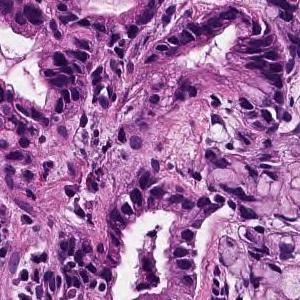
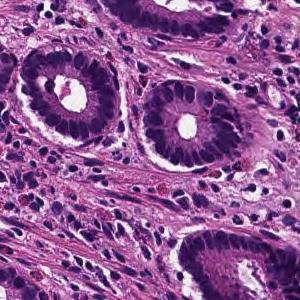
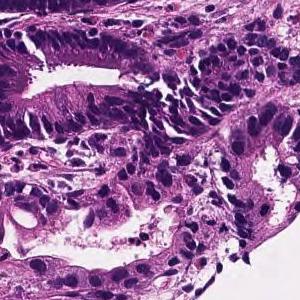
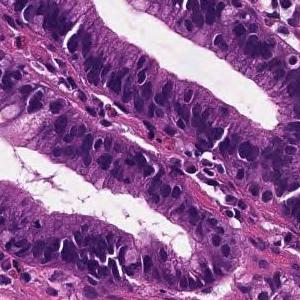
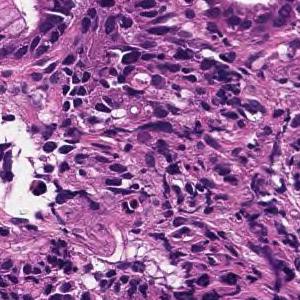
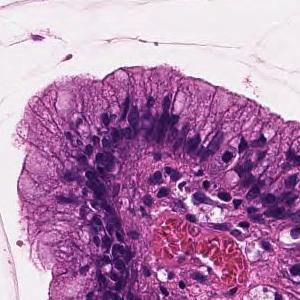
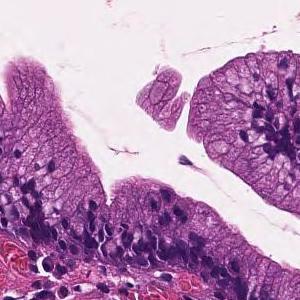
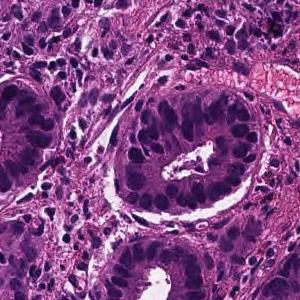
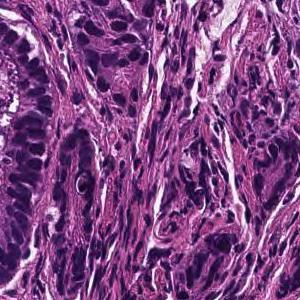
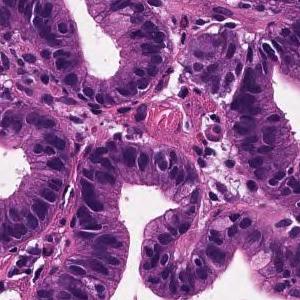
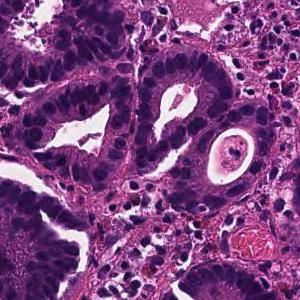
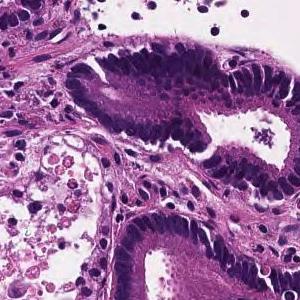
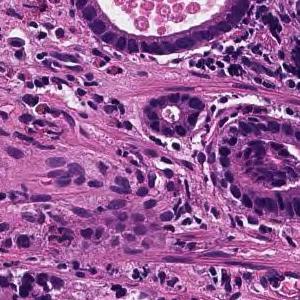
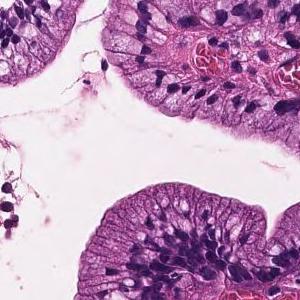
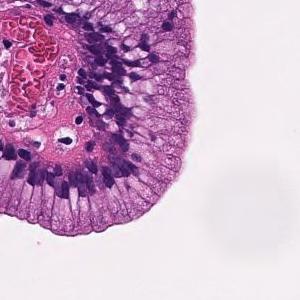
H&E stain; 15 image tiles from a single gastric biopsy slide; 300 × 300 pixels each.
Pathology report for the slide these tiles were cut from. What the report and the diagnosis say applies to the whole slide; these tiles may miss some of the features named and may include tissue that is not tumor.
On the superficial epithelium, tumor tissue consisting of medium-sized and irregular glandular ducts partially fused and infiltrated is observed. Well to moderately differentiated tubular adenocarcinoma (well differentiated tubular adenocarcinoma-moderately differentiated tubular adenocarcinoma)
Classified as well to moderately differentiated tubular adenocarcinoma.
